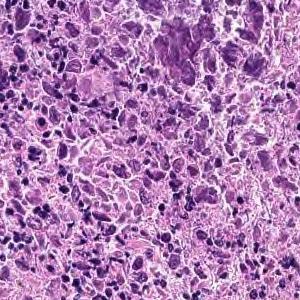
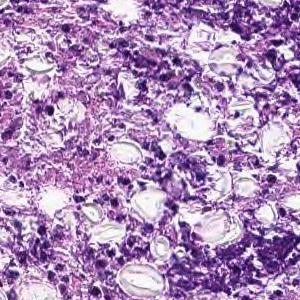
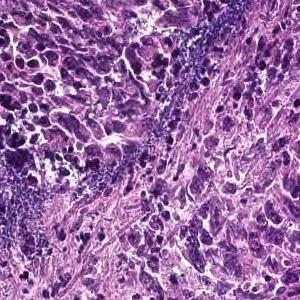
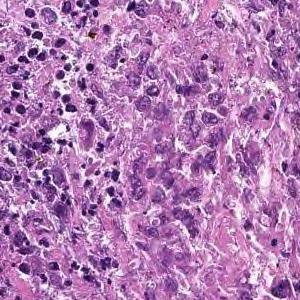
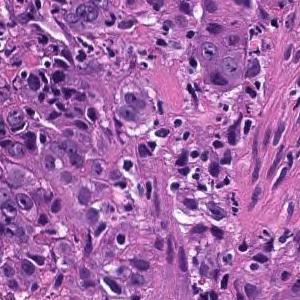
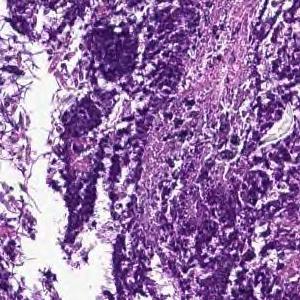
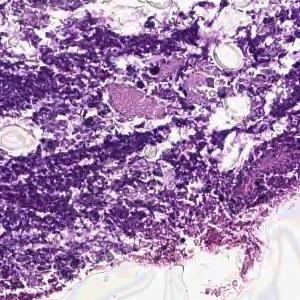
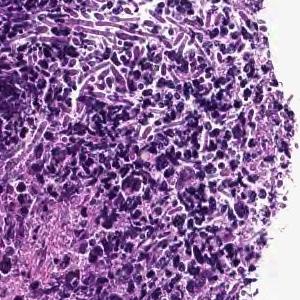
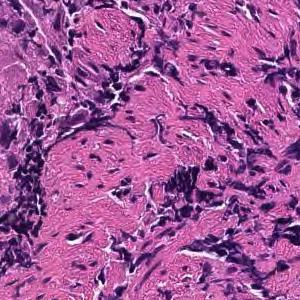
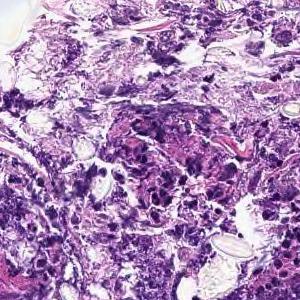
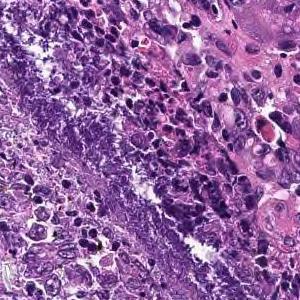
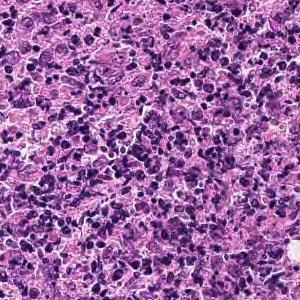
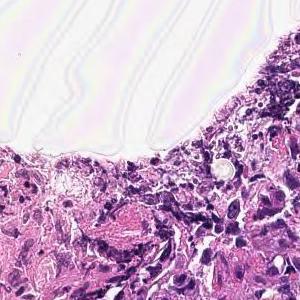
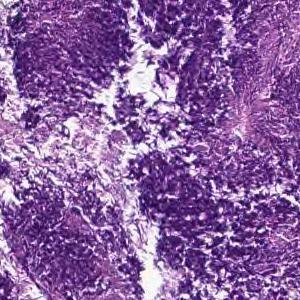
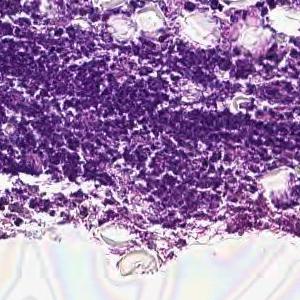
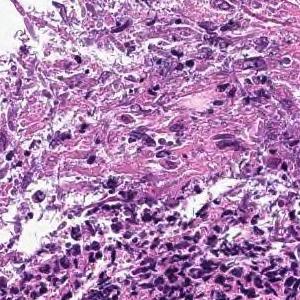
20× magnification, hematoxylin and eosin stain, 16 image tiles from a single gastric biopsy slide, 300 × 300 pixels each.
Report on the slide these tiles come from. What the report and the diagnosis say applies to the whole slide; these tiles may miss some of the features named and may include tissue that is not tumor.
Cancers with polygonal nuclei do not show glandular formation and are densely, in part, cord-like and proliferate. Poorly differentiated adenocarcinoma
Histologic type: Poorly differentiated adenocarcinoma, non-solid type.
"Non-solid type" is a category of the Japanese Classification of Gastric Carcinoma.
